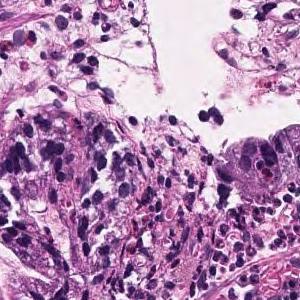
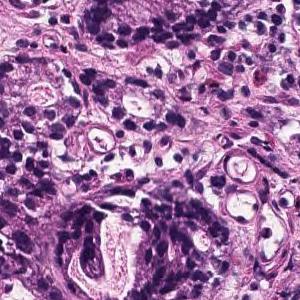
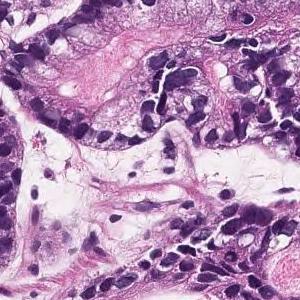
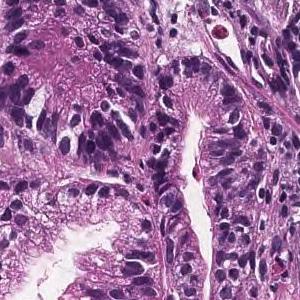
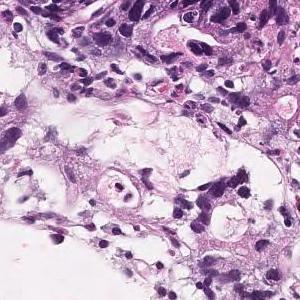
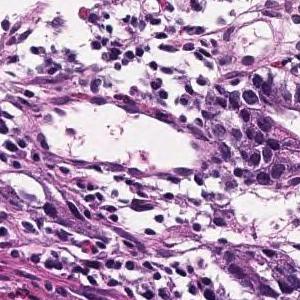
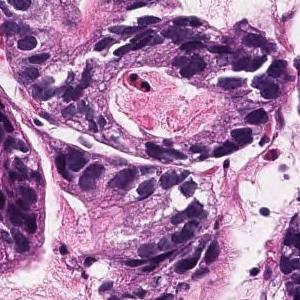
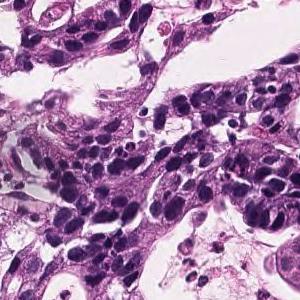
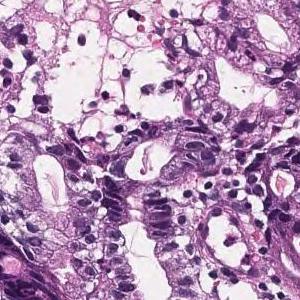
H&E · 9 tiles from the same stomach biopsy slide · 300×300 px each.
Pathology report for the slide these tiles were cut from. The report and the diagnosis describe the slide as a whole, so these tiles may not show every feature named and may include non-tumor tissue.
Tumor tissue consisting of medium-sized and irregular ducts is observed infiltrating in the superficial epithelium. Tumor cells are highly columnar, with nuclei aligned basolaterally and polarized. Well differentiated tubular adenocarcinoma.
